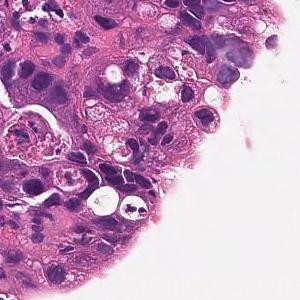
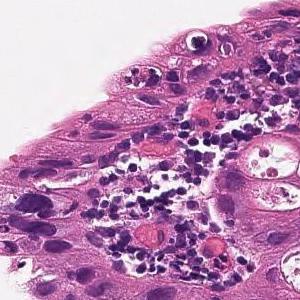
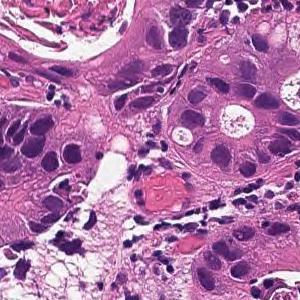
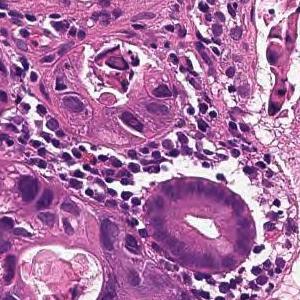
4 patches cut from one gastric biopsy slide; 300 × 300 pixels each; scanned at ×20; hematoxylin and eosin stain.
Pathology report for the slide these tiles were cut from. What the report and the diagnosis say applies to the whole slide; these tiles may miss some of the features named and may include tissue that is not tumor.
From the superficial epithelium to the muscularis mucosae, tumor tissue consisting of medium-sized and irregular glandular ducts infiltrating is observed. Well differentiated tubular adenocarcinoma
